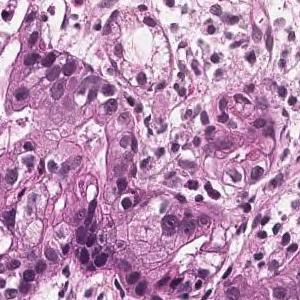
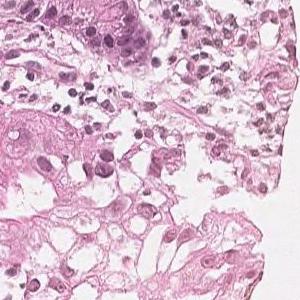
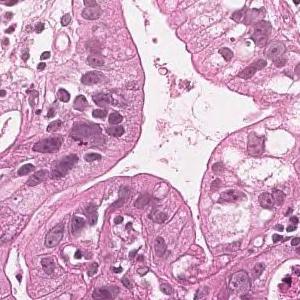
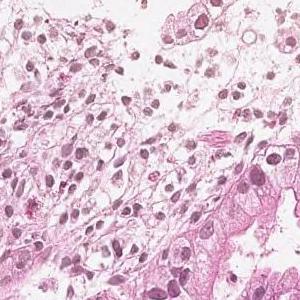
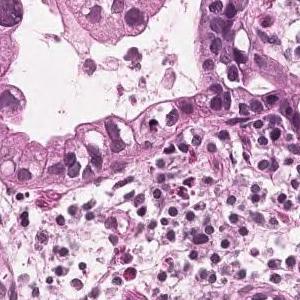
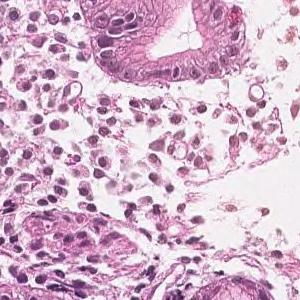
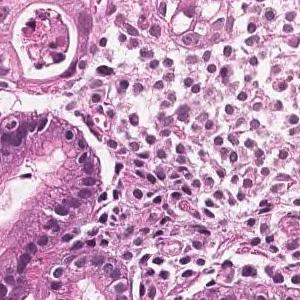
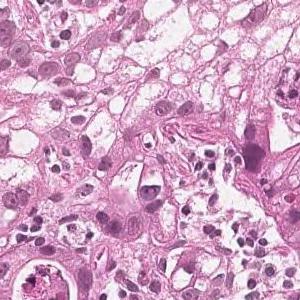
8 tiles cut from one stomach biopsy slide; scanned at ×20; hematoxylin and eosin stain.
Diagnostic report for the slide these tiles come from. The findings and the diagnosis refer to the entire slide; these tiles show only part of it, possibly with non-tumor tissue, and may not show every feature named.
In the superficial epithelium, tumor tissue that invades by forming medium-sized to small, irregular ducts is observed. moderately differentiated tubular adenocarcinoma.
